6 patches cut from one gastric biopsy slide; each 300 × 300 pixels; H&E; 20× magnification.
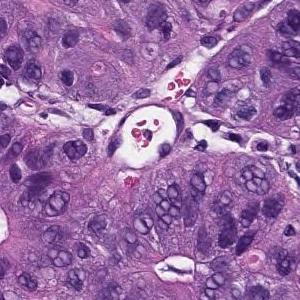
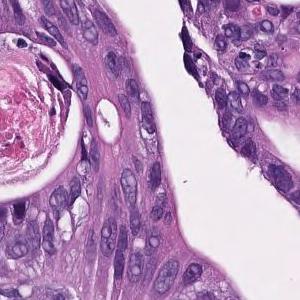
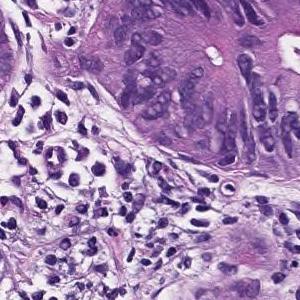
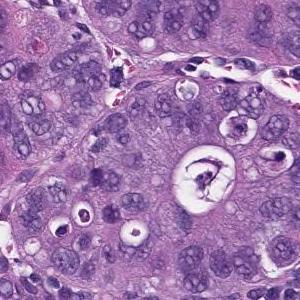
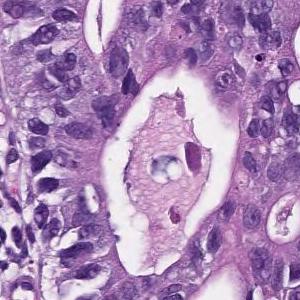
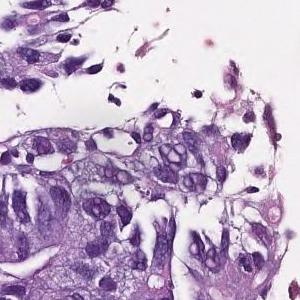
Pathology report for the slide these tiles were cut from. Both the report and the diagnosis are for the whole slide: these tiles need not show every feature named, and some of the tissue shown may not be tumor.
In the superficial epithelium, tumor tissue that invades by forming medium-sized to small, irregular ducts is observed. moderately differentiated tubular adenocarcinoma.
